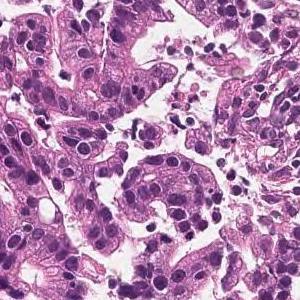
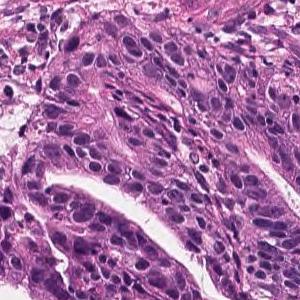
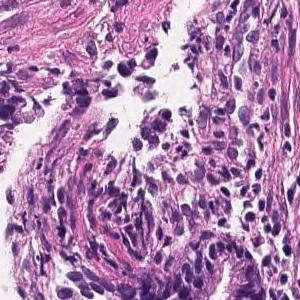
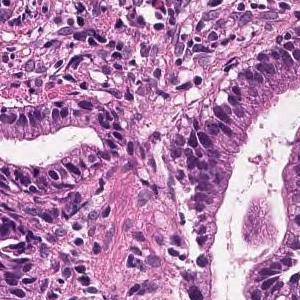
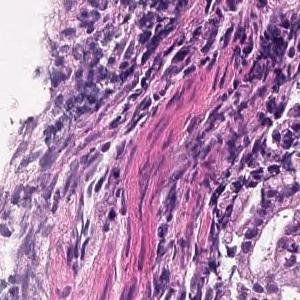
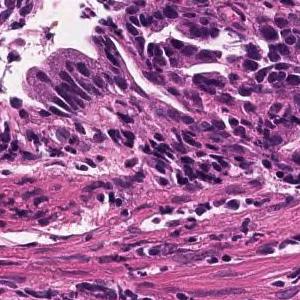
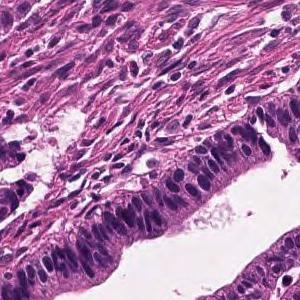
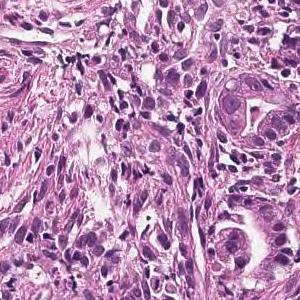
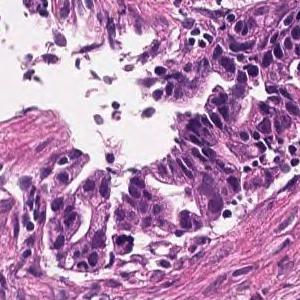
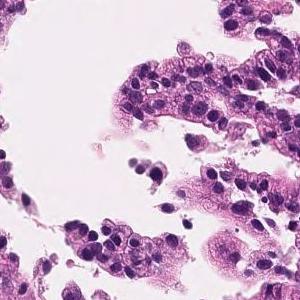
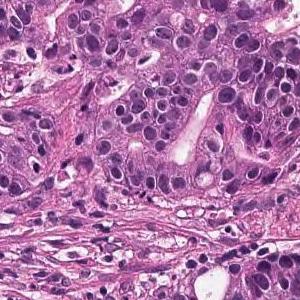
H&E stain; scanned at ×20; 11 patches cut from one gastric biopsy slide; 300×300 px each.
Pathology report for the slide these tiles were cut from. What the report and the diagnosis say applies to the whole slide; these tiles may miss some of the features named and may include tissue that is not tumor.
Tumor cells are large, highly columnar, large club-shaped nuclei, and are associated with chromatin aggregation. Papillary adenocarcinoma.
